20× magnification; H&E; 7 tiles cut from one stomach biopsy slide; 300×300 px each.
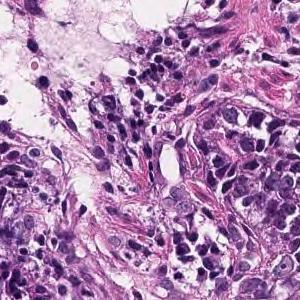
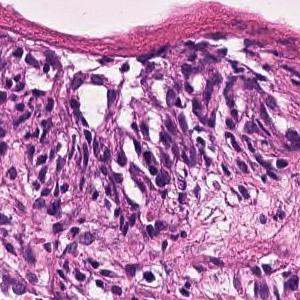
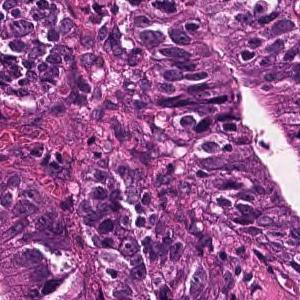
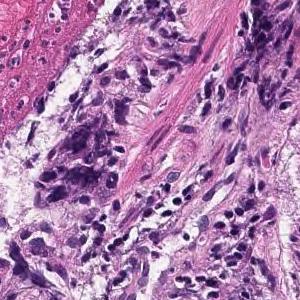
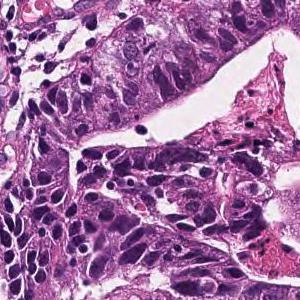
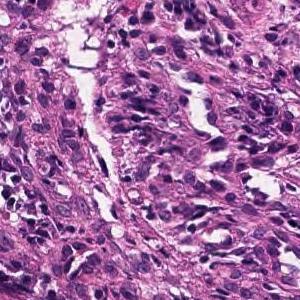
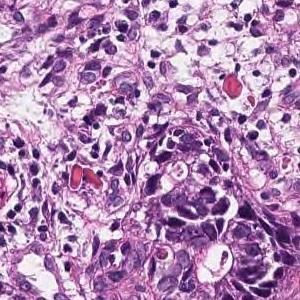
Diagnostic report for the slide these tiles come from. The findings and the diagnosis refer to the entire slide; these tiles show only part of it, possibly with non-tumor tissue, and may not show every feature named.
From the superficial epithelium to the muscularis mucosae, tumor tissue infiltrating by forming medium-sized irregular gland ducts is observed. Large tumor cells exhibit large nucleus and hyperchromatism. Well differentiated tubular adenocarcinoma
